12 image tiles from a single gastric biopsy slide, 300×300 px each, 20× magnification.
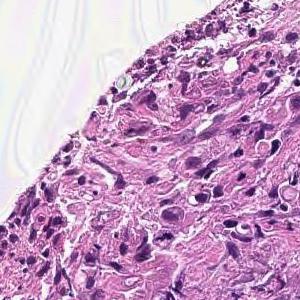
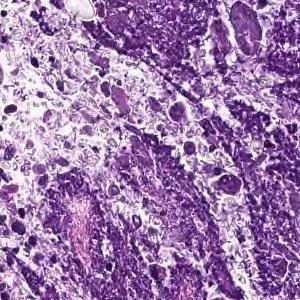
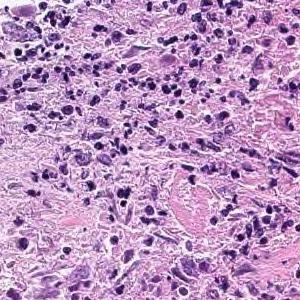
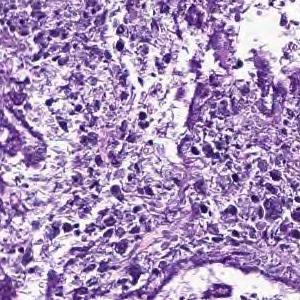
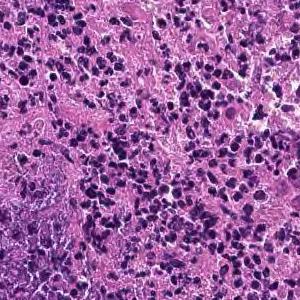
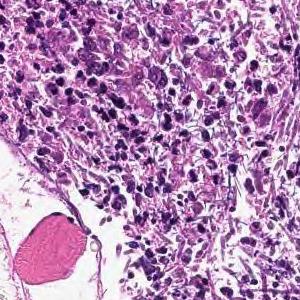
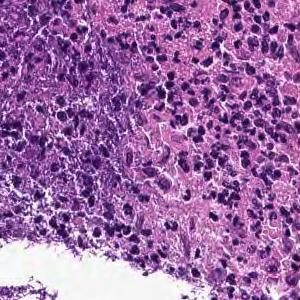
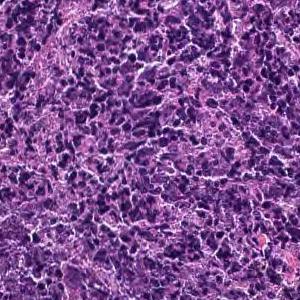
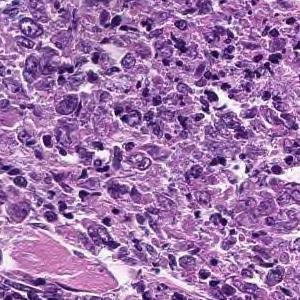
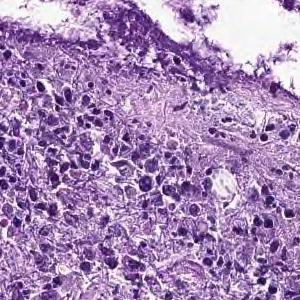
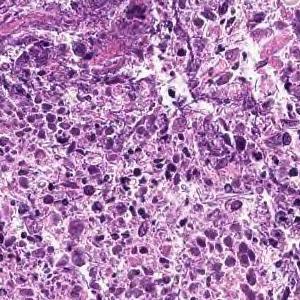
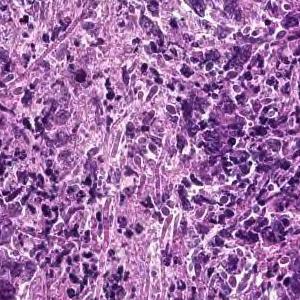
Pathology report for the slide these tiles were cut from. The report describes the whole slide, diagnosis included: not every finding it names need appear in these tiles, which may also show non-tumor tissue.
Cancers with polygonal nuclei do not show glandular formation and are densely, in part, cord-like and proliferate. Poorly differentiated adenocarcinoma
Histological subtype: Poorly differentiated adenocarcinoma, non-solid type.
The term "non-solid type" comes from the Japanese Classification of Gastric Carcinoma.
